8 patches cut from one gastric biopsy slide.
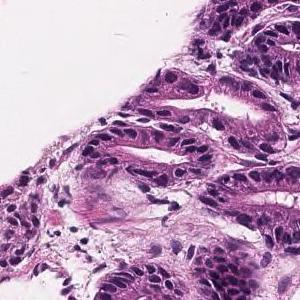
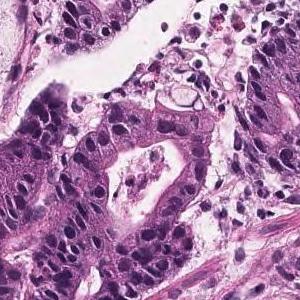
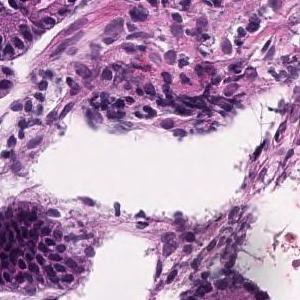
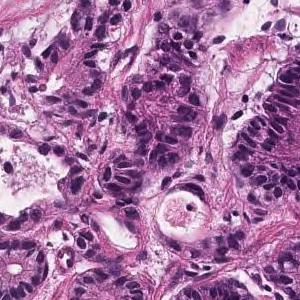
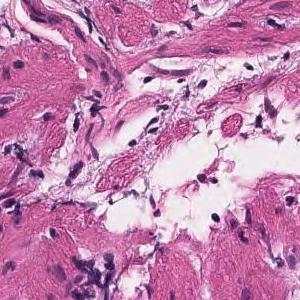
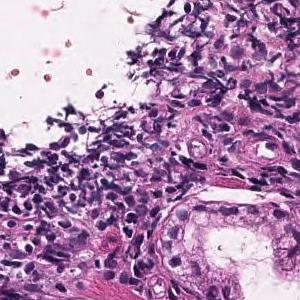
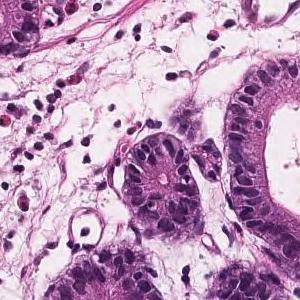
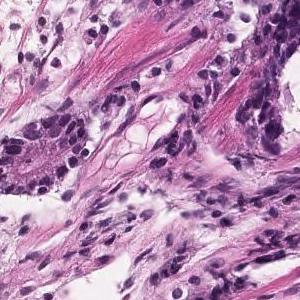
Pathology report for the biopsy slide these tiles were cut from. The report describes the whole slide, diagnosis included: not every finding it names need appear in these tiles, which may also show non-tumor tissue.
Tumor tissue with atypical epithelium showing irregular ductal or sieving ductal structure and proliferating is observed. Well to moderately differentiated tubular adenocarcinoma (well differentiated tubular adenocarcinoma-moderately differentiated tubular adenocarcinoma)
Tumor subtype: well to moderately differentiated tubular adenocarcinoma.
